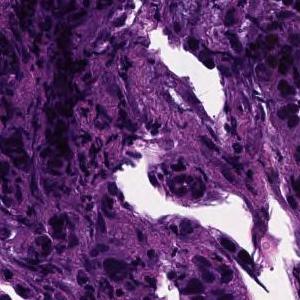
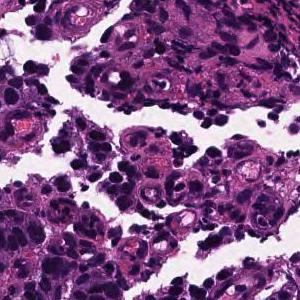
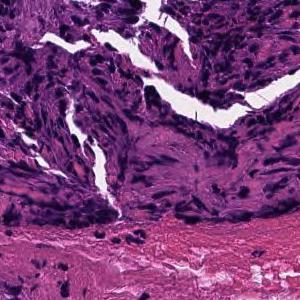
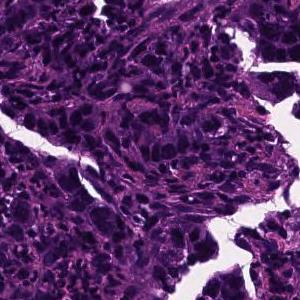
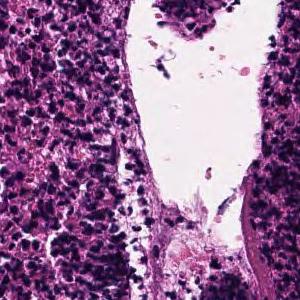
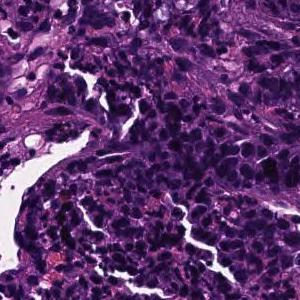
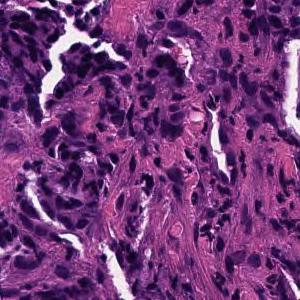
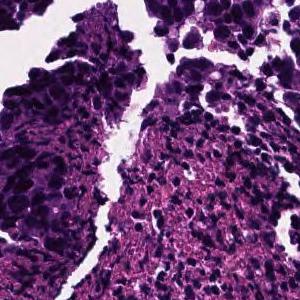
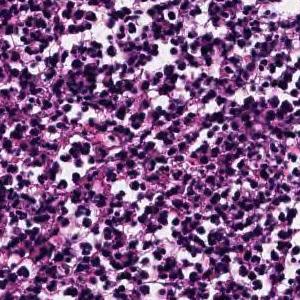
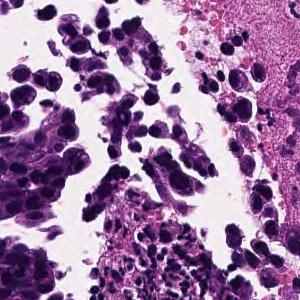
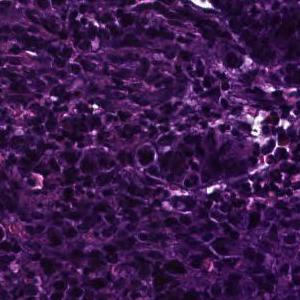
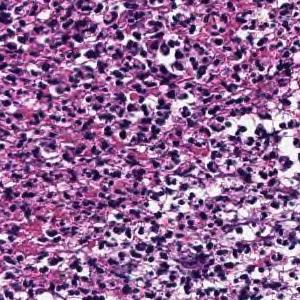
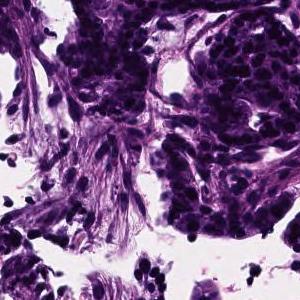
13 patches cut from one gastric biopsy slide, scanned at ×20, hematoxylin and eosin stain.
The pathologist's report on the biopsy slide these tiles were taken from. The report describes the whole slide, diagnosis included: not every finding it names need appear in these tiles, which may also show non-tumor tissue.
In the superficial epithelium, tumor tissue that invades by forming medium-sized to small, irregular ducts is observed. moderately differentiated tubular adenocarcinoma.
